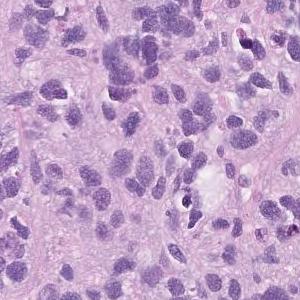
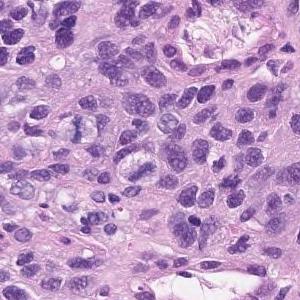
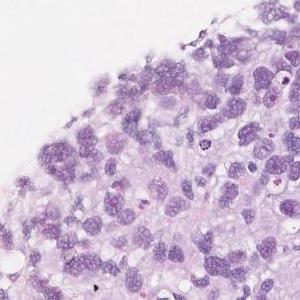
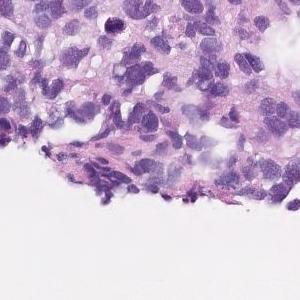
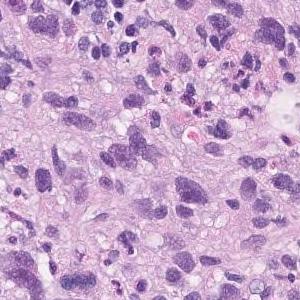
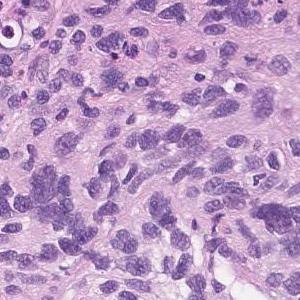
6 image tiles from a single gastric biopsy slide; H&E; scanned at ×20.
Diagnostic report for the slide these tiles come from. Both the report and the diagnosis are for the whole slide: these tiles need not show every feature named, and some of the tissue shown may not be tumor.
Atypical l cells with atypical nuclei under the mucosa growing in isolation and scattered. Poorly differentiated adenocarcinoma (poorly differentiated adenocarcinoma, non-solid type)
Classified as poorly differentiated adenocarcinoma, non-solid type.
"Non-solid type" is a category of the Japanese Classification of Gastric Carcinoma.
